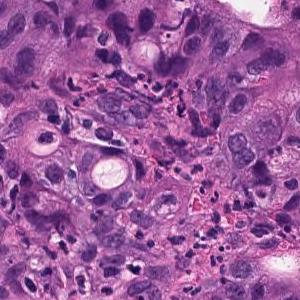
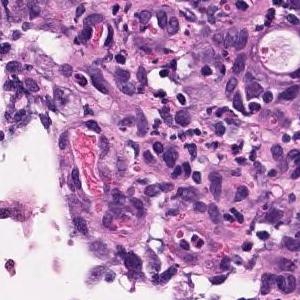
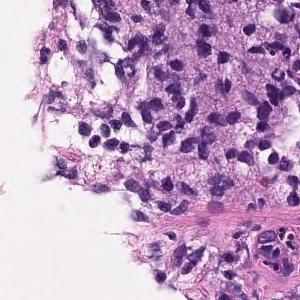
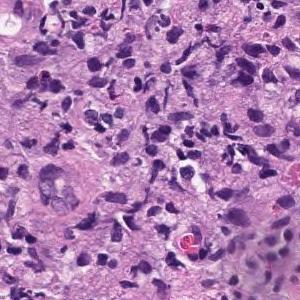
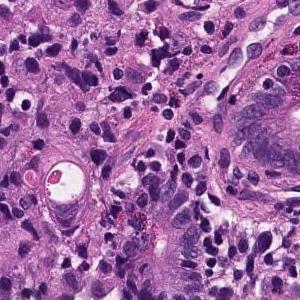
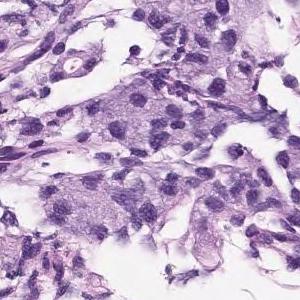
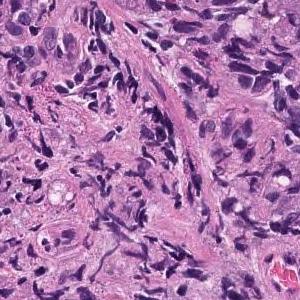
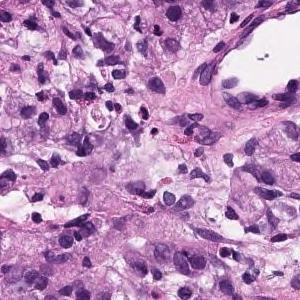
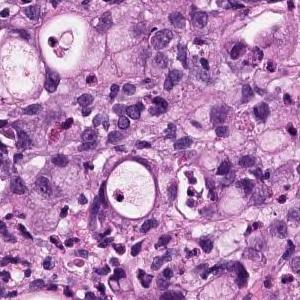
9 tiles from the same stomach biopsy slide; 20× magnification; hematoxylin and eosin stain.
The pathologist's report on the biopsy slide these tiles were taken from. The findings and the diagnosis refer to the entire slide; these tiles show only part of it, possibly with non-tumor tissue, and may not show every feature named.
Atypical epithelium forms irregularly fused gland ducts and proliferates. Poorly differentiated adenocarcinoma.
Subtype: Poorly differentiated adenocarcinoma, non-solid type.
The term "non-solid type" comes from the Japanese Classification of Gastric Carcinoma.
